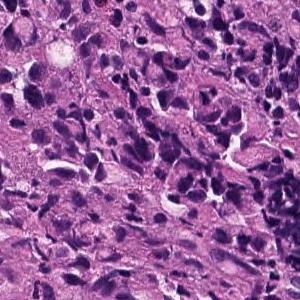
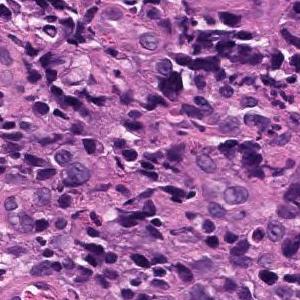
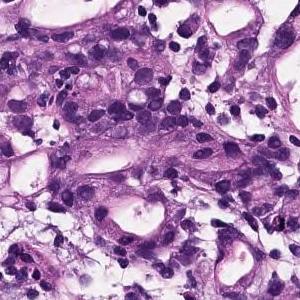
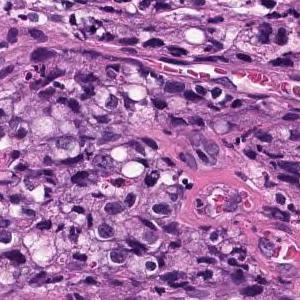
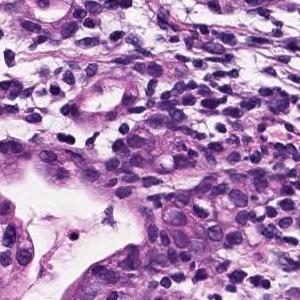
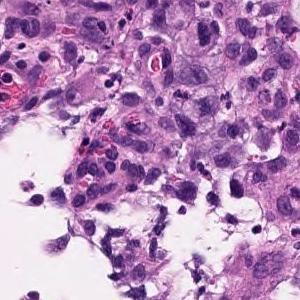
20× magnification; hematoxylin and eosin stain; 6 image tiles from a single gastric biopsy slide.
Pathology report for the slide these tiles were cut from. The report describes the whole slide, diagnosis included: not every finding it names need appear in these tiles, which may also show non-tumor tissue.
Atypical epithelium forms irregularly fused gland ducts and proliferates. Poorly differentiated adenocarcinoma.
Histological subtype: Poorly differentiated adenocarcinoma, non-solid type.
The term "non-solid type" comes from the Japanese Classification of Gastric Carcinoma.
